12 image tiles from a single gastric biopsy slide · 300 × 300 pixels each · scanned at ×20 · H&E.
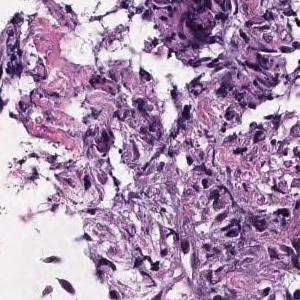
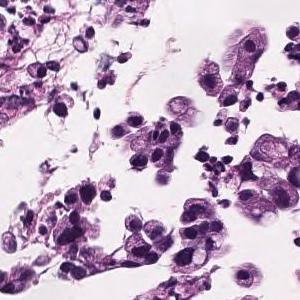
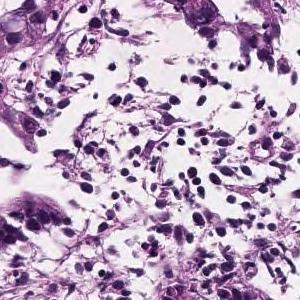
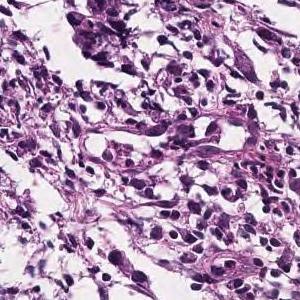
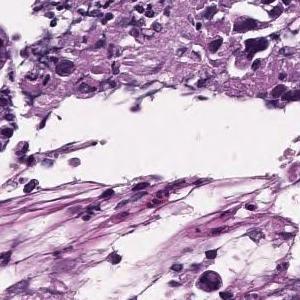
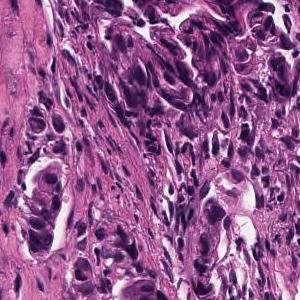
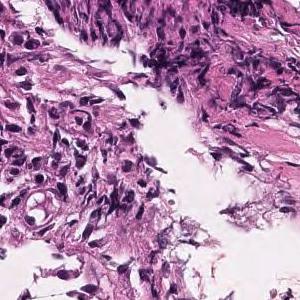
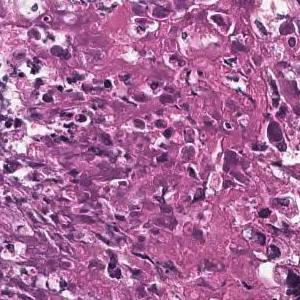
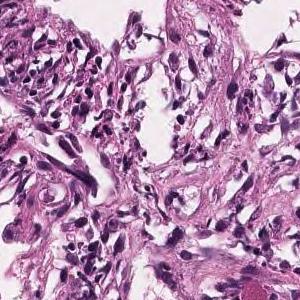
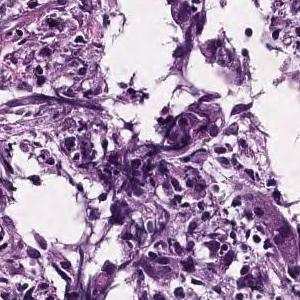
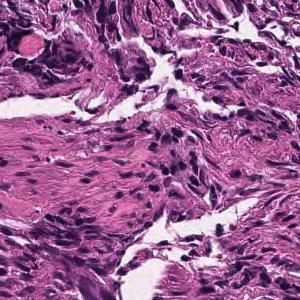
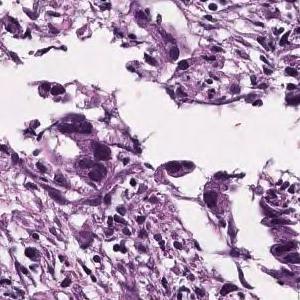
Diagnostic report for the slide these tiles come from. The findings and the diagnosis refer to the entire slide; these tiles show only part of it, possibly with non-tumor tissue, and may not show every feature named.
In the superficial epithelium, tumor tissue that invades by forming medium-sized to small, irregular ducts is observed. moderately differentiated tubular adenocarcinoma.
